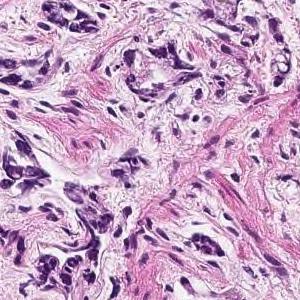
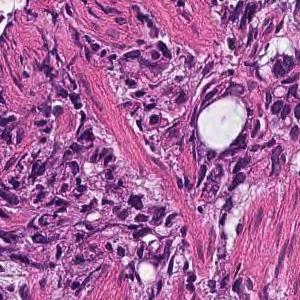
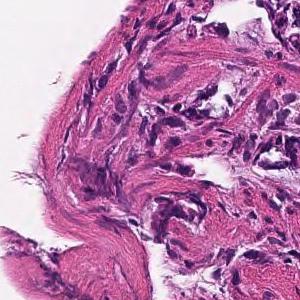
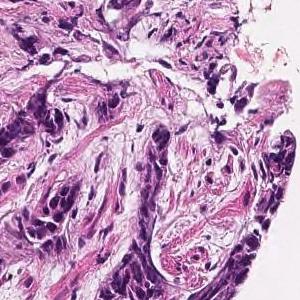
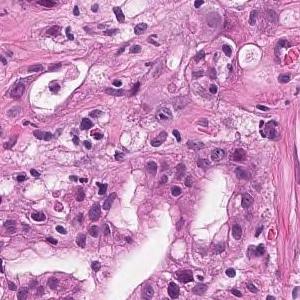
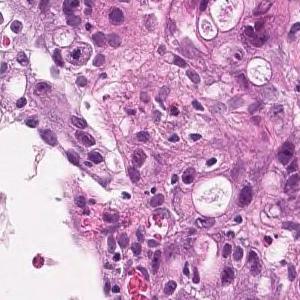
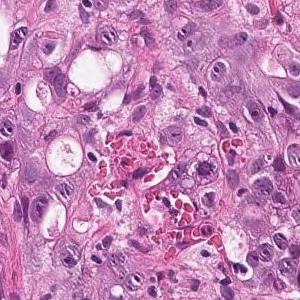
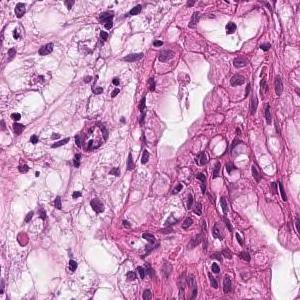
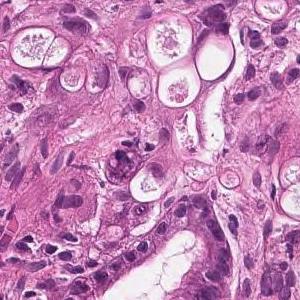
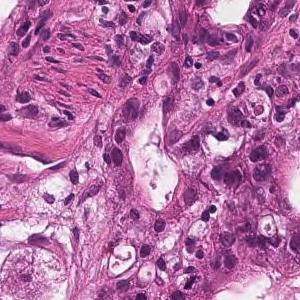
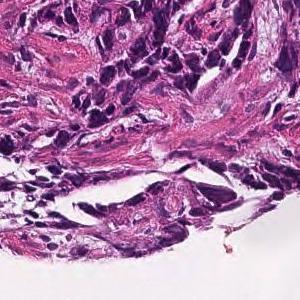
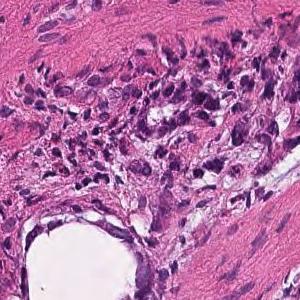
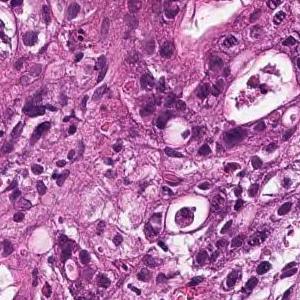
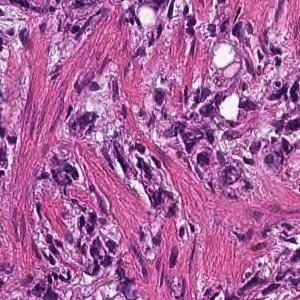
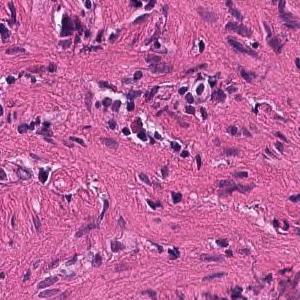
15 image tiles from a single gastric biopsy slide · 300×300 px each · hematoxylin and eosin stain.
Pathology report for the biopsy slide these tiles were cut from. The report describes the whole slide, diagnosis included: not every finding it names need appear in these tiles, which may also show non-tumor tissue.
In the gastric mucosal tissue, tumor tissue that forms irregular glandular cavities of medium to small size or shows small cords and infiltrates is observed. moderately differentiated tubular adenocarcinoma
